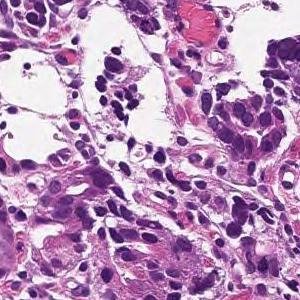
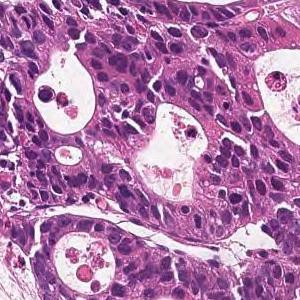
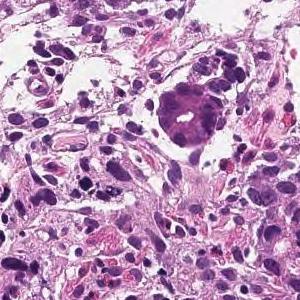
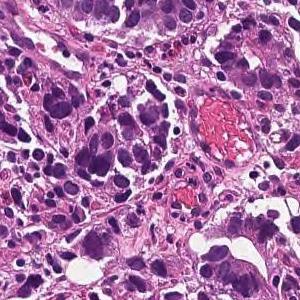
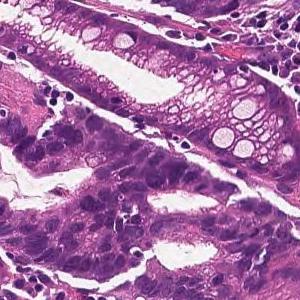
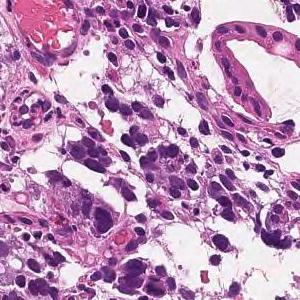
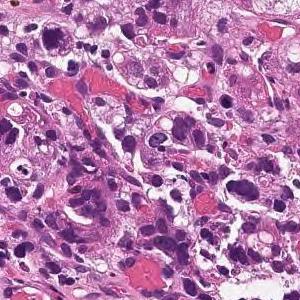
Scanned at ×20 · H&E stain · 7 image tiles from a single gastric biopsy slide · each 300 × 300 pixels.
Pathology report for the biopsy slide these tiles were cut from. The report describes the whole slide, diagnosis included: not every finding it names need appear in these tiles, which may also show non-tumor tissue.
On the superficial epithelium, tumor tissue is found in which medium-sized irregular gland ducts fuse with each other and infiltrate. moderately differentiated tubular adenocarcinoma
